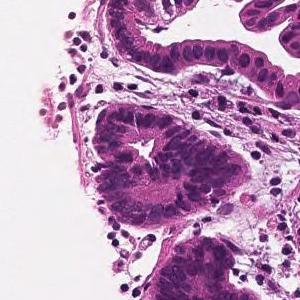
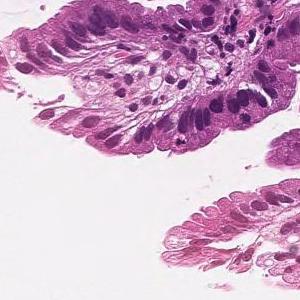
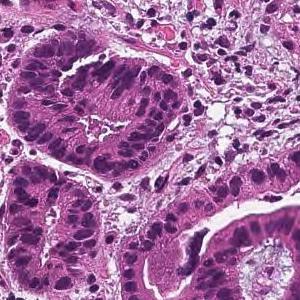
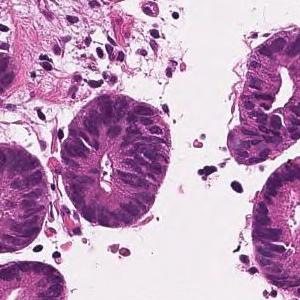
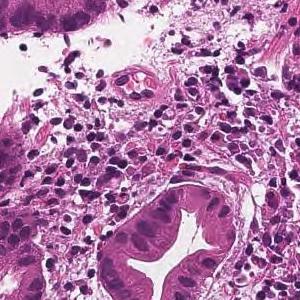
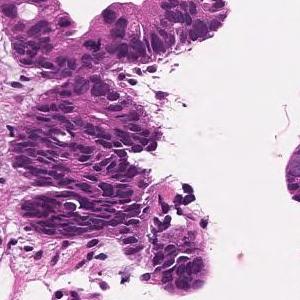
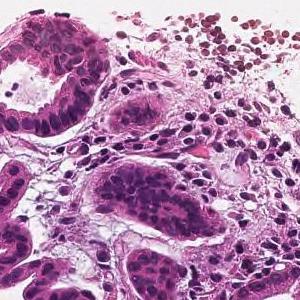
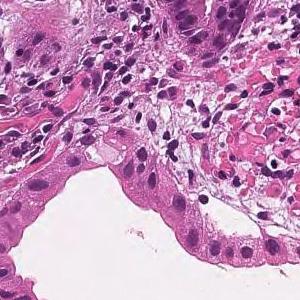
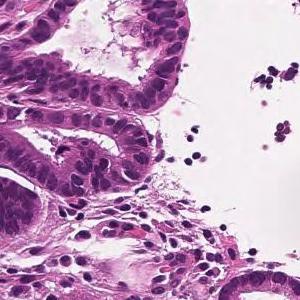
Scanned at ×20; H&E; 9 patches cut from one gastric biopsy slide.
Pathology report for the biopsy slide these tiles were cut from. The report and the diagnosis describe the slide as a whole, so these tiles may not show every feature named and may include non-tumor tissue.
From the superficial epithelium to the muscularis mucosae, tumor tissue consisting of medium-sized and irregular glandular ducts infiltrating is observed. Well differentiated tubular adenocarcinoma
